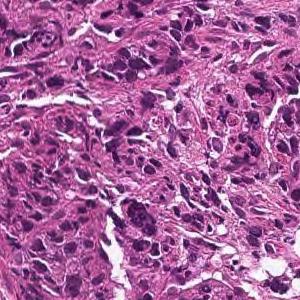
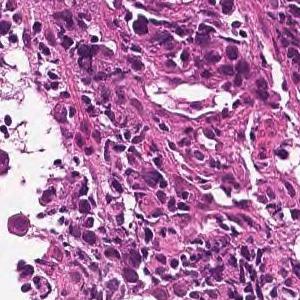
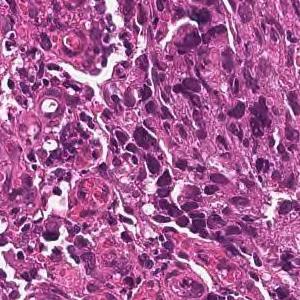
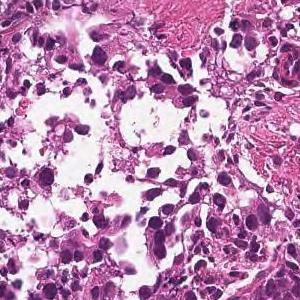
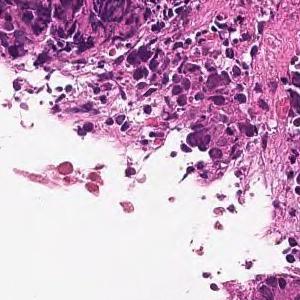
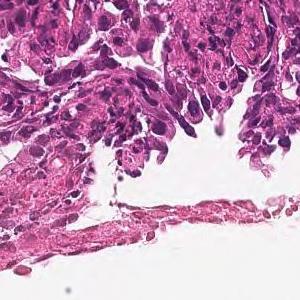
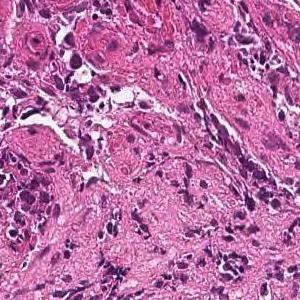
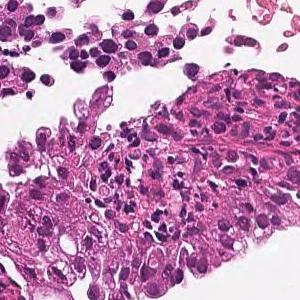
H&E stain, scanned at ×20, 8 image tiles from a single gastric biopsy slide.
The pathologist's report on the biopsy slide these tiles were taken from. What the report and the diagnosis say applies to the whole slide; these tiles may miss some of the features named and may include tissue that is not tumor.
Tumor tissue consisting of medium-sized, cord-like or irregular glandular infiltration is observed in the superficial epithelium. Poorly differentiated adenocarcinoma, non-solid type or moderately differentiated tubular adenocarcinoma
Classified as moderately to poorly differentiated adenocarcinoma.
"Non-solid type" is a category of the Japanese Classification of Gastric Carcinoma.
